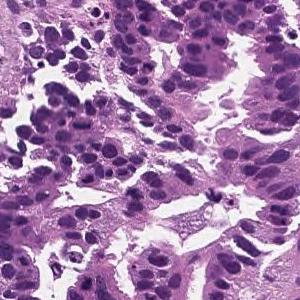
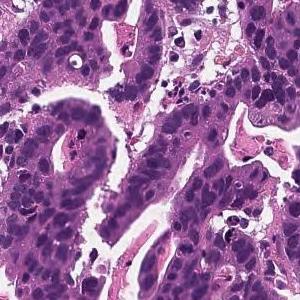
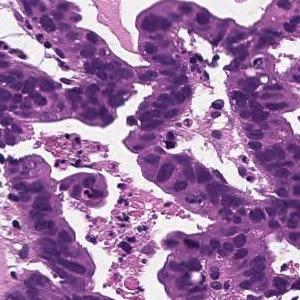
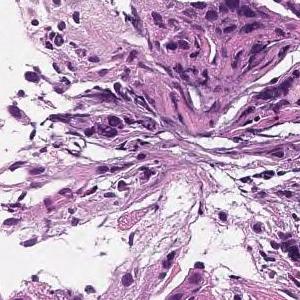
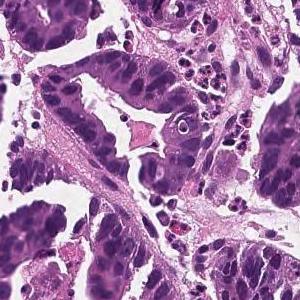
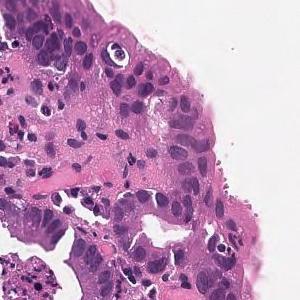
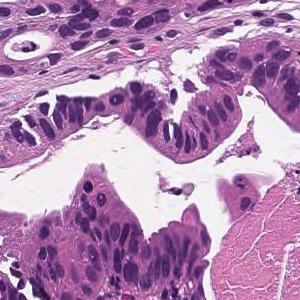
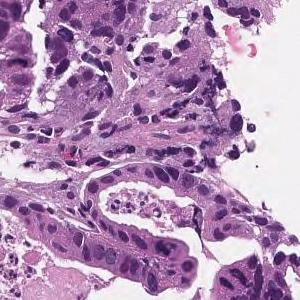
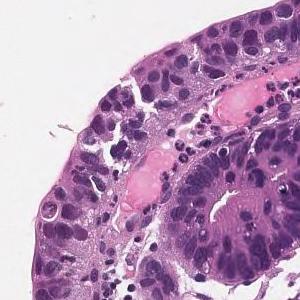
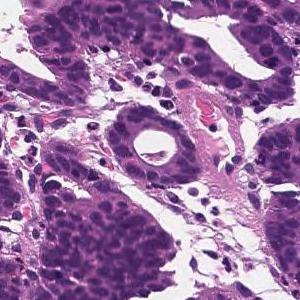
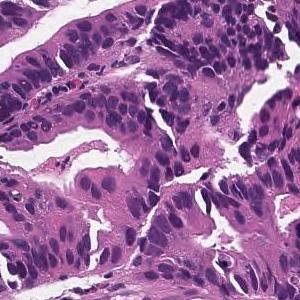
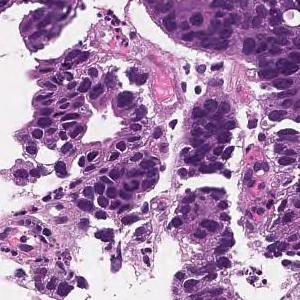
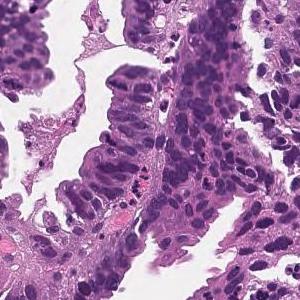
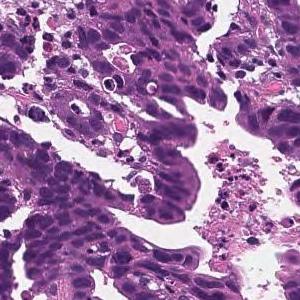
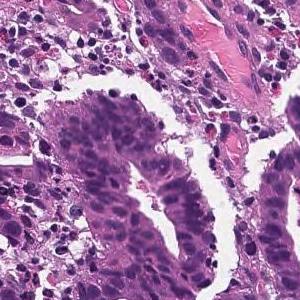
15 tiles from the same stomach biopsy slide; H&E stain; scanned at ×20.
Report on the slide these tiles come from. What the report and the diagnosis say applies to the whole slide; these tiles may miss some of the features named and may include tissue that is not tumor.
In the superficial epithelium, tumor tissue that invades by forming medium-sized to small, irregular ducts is observed. moderately differentiated tubular adenocarcinoma.
